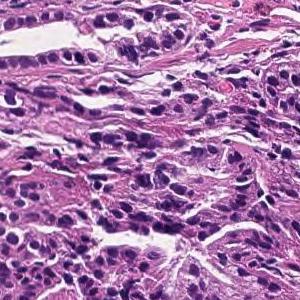
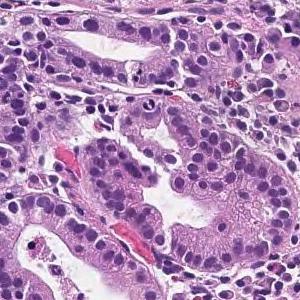
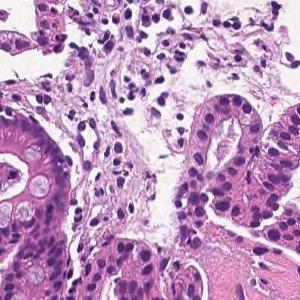
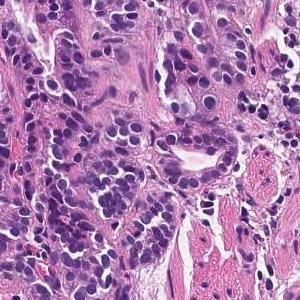
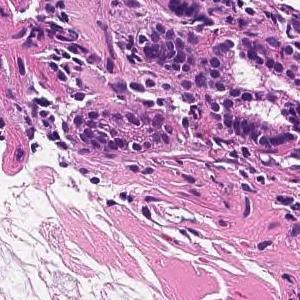
×20 · H&E stain · 5 tiles cut from one stomach biopsy slide · 300 × 300 pixels each.
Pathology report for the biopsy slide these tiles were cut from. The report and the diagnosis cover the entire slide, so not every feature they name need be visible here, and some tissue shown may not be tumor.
On the superficial epithelium, tumor tissue that infiltrates by forming medium-sized papillary or small irregular ducts is observed. Papillary adenocarcinoma (Papillary adenocarcinoma)
Subtype: Papillary adenocarcinoma.
